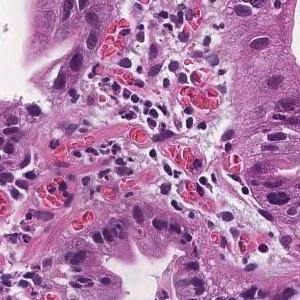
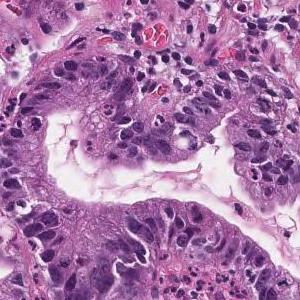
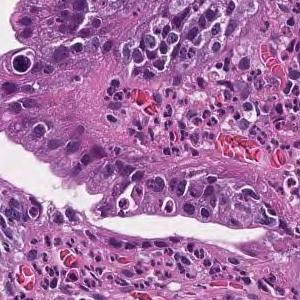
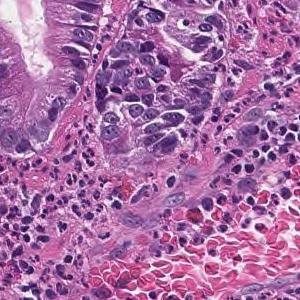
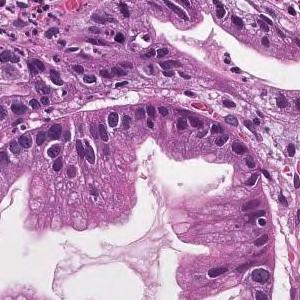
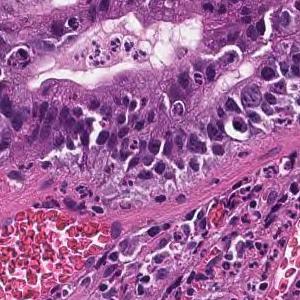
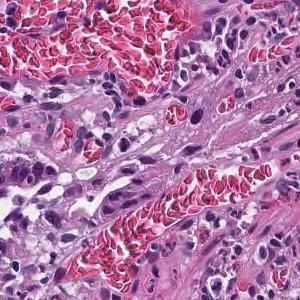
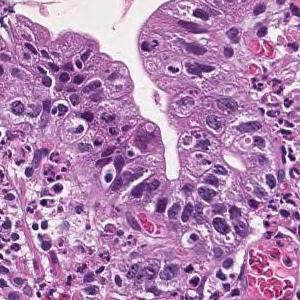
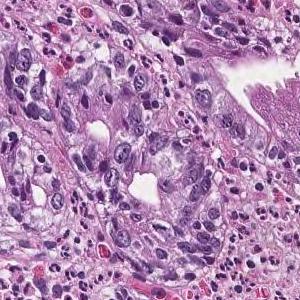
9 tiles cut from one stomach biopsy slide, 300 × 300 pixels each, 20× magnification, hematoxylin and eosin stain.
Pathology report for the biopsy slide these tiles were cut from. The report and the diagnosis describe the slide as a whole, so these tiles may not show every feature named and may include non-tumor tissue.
Tumor cells are large, highly columnar, large club-shaped nuclei, and are associated with chromatin aggregation. Papillary adenocarcinoma.
